9 patches cut from one gastric biopsy slide; 300 × 300 pixels each; H&E stain.
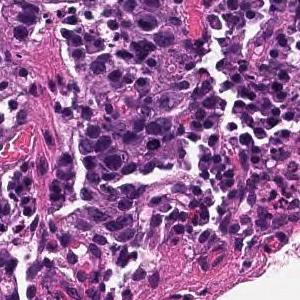
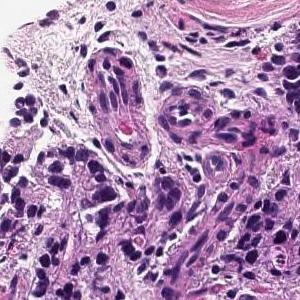
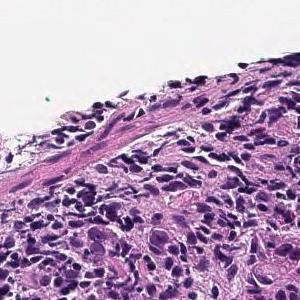
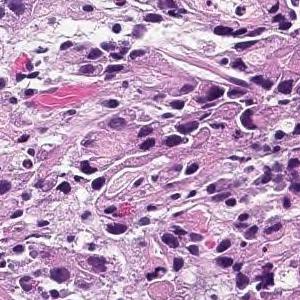
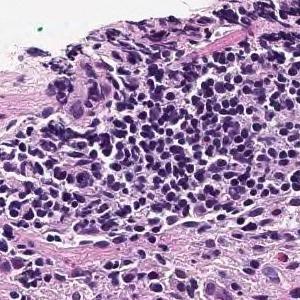
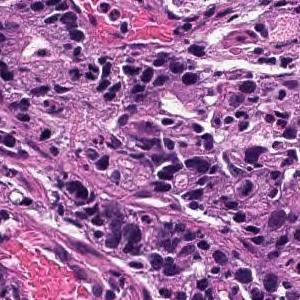
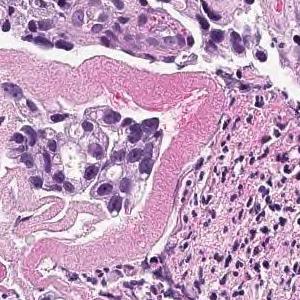
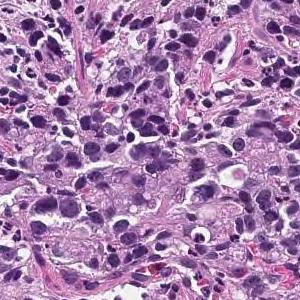
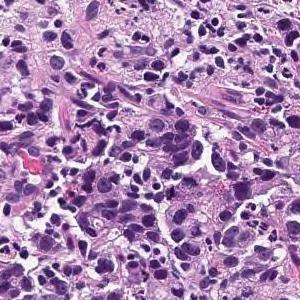
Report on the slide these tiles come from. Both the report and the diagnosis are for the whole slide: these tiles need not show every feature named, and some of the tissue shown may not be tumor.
Tumor tissue consisting of cord-like or small, irregular glandular ducts fused and infiltrated is observed in the superficial epithelium. Poorly differentiated adenocarcinoma, non-solid type
The term "non-solid type" comes from the Japanese Classification of Gastric Carcinoma.
